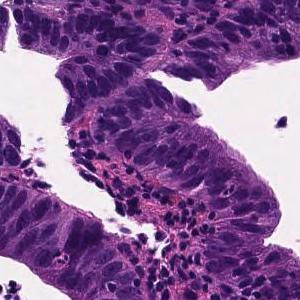
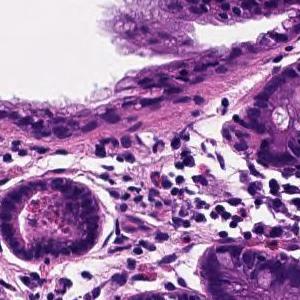
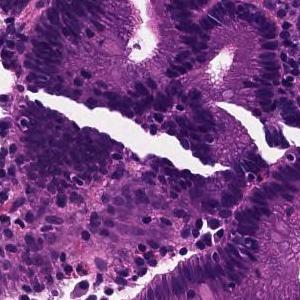
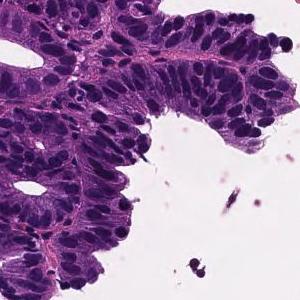
Hematoxylin and eosin stain; ×20; 4 tiles from the same stomach biopsy slide; 300 × 300 pixels each.
Pathology report for the slide these tiles were cut from. Both the report and the diagnosis are for the whole slide: these tiles need not show every feature named, and some of the tissue shown may not be tumor.
Tumor tissue in which medium to small irregular ducts infiltrate and proliferate in the submucosa can be seen in the epithelium. Well differentiated tubular adenocarcinoma
